7 tiles from the same stomach biopsy slide, 300 × 300 pixels each, hematoxylin and eosin stain, 20× magnification.
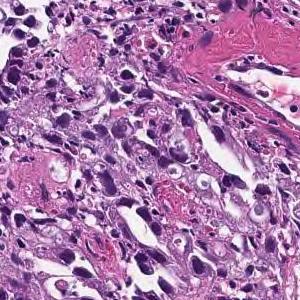
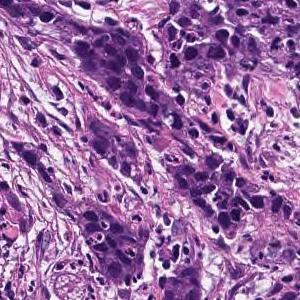
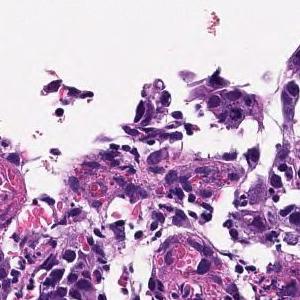
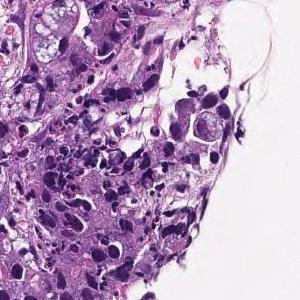
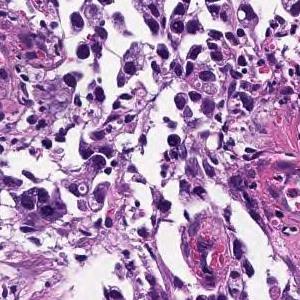
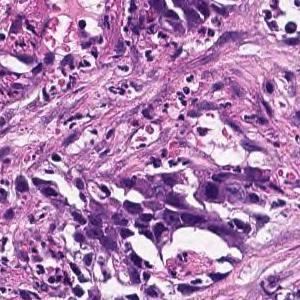
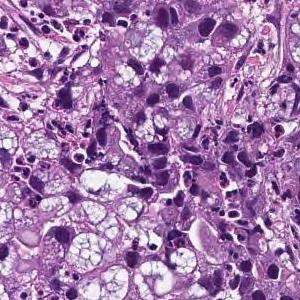
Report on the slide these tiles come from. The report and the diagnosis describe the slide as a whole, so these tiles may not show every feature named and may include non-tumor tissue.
Medium to small, irregular glandular ducts are formed in the superficial epithelium, and in some cases, the glandular ducts are fused to show solid alveolar lesions and infiltrating tumor tissue is observed. Moderately to poorly differentiated adenocarcinoma.
